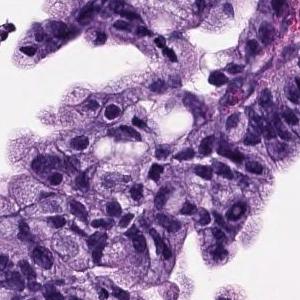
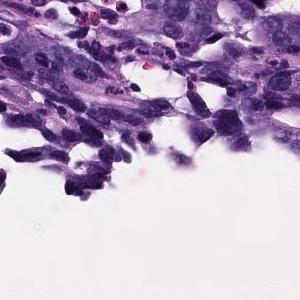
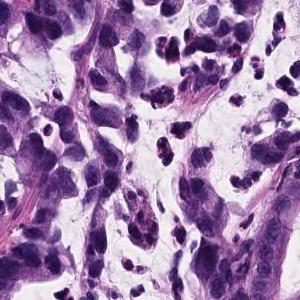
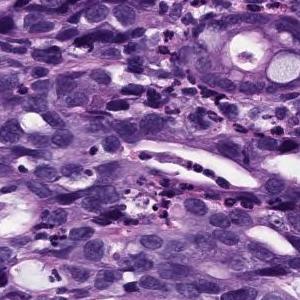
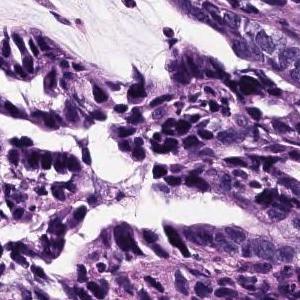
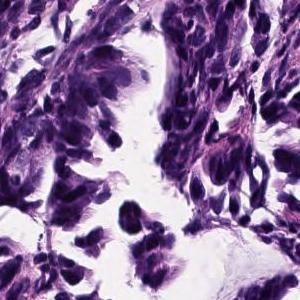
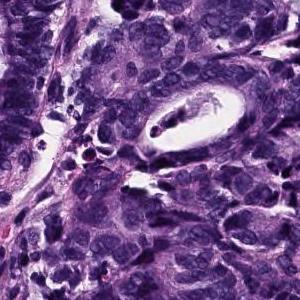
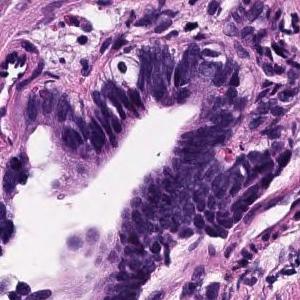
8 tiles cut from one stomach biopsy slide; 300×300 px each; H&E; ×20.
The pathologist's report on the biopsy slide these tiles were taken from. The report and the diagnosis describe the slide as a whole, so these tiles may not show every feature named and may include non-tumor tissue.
Atypical epithelium proliferating showing villus construction and irregular gland duct construction is observed. Moderately differentiated tubular adenocarcinoma.
